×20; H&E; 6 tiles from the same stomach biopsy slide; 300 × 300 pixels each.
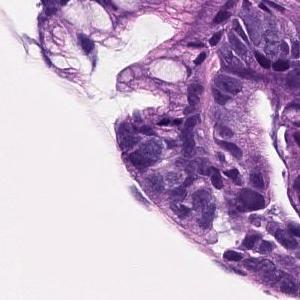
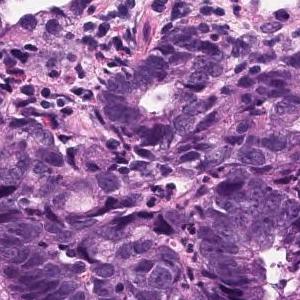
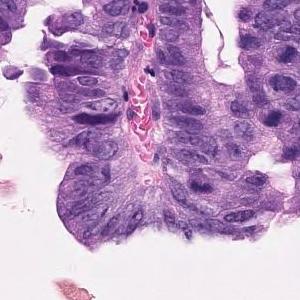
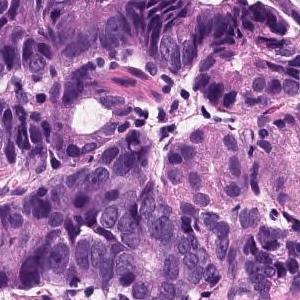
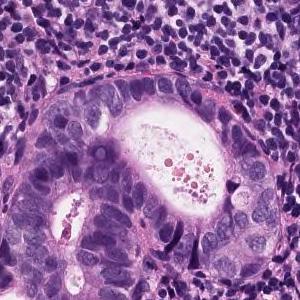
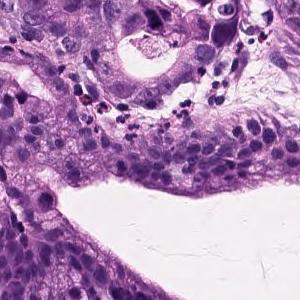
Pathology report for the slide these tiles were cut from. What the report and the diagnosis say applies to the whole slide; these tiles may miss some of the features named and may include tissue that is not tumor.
The swollen atypical epithelium of the nucleus forms an irregular ductal structure and proliferates. moderately differentiated tubular adenocarcinoma
